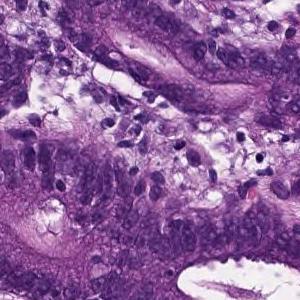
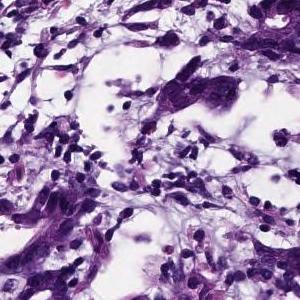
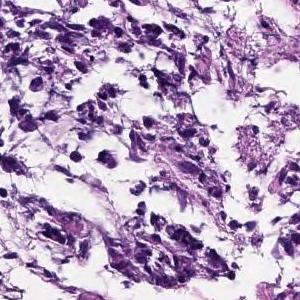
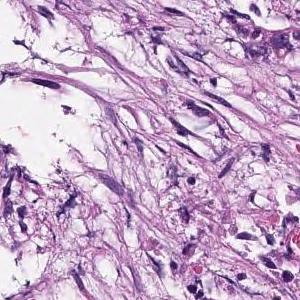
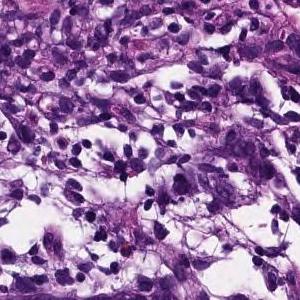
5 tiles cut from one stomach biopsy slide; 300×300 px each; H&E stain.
Pathology report for the biopsy slide these tiles were cut from. The report and the diagnosis cover the entire slide, so not every feature they name need be visible here, and some tissue shown may not be tumor.
Tumor tissue consisting of medium-sized, cord-like or irregular glandular infiltration is observed in the superficial epithelium. Poorly differentiated adenocarcinoma, non-solid type or moderately differentiated tubular adenocarcinoma
Subtype: Moderately to poorly differentiated adenocarcinoma.
The non-solid type named here is a Japanese Classification of Gastric Carcinoma category.
